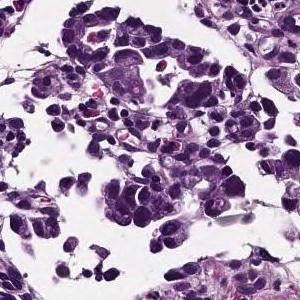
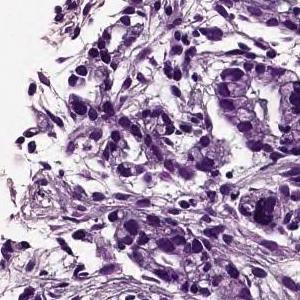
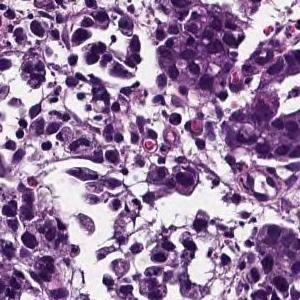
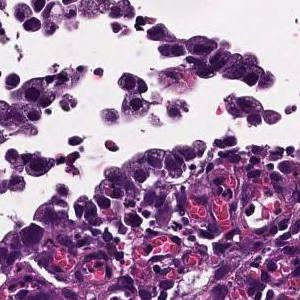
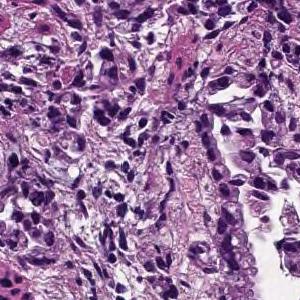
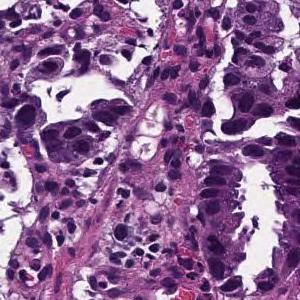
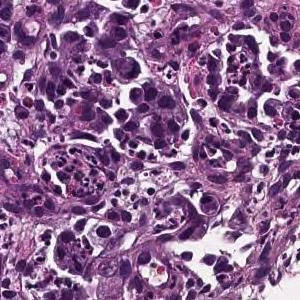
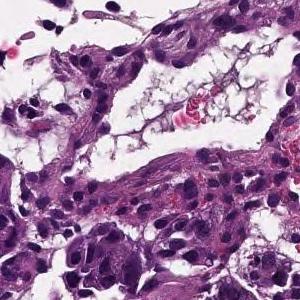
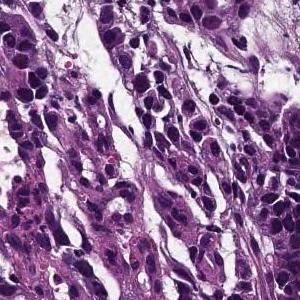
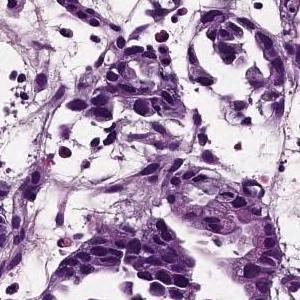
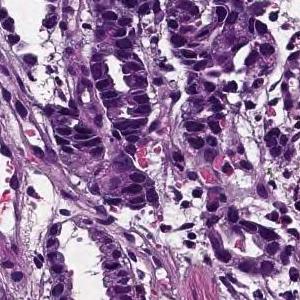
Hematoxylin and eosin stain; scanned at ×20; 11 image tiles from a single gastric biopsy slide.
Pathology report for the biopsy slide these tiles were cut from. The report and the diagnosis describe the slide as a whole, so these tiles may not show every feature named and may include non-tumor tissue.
Medium to small, irregular glandular ducts are formed in the superficial epithelium, and in some cases, the glandular ducts are fused to show solid alveolar lesions and infiltrating tumor tissue is observed. Moderately to poorly differentiated adenocarcinoma.
